H&E stain, scanned at ×20, 8 patches cut from one gastric biopsy slide.
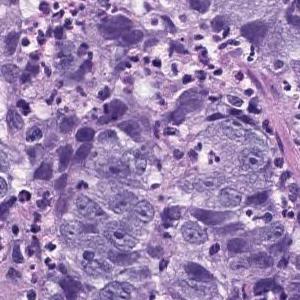
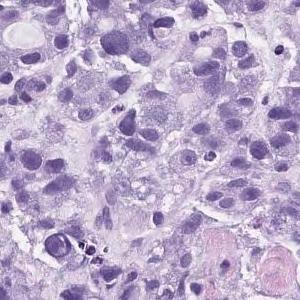
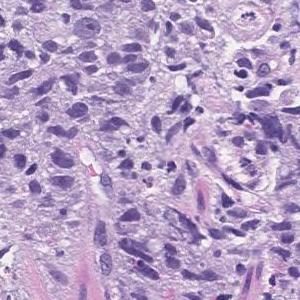
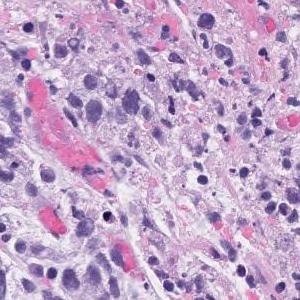
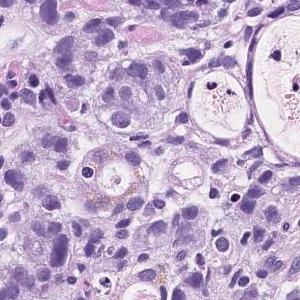
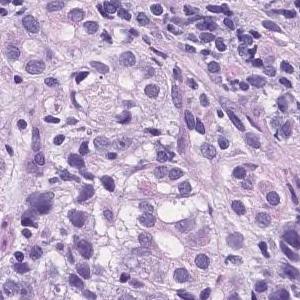
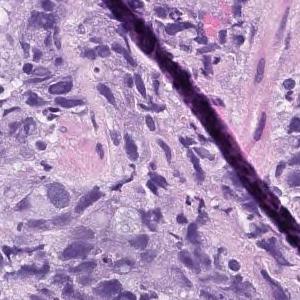
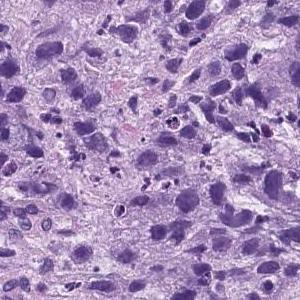
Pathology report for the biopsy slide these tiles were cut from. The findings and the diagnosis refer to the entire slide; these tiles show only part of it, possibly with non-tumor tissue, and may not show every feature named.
Atypical l cells with atypical nuclei forming solid vesicles or small irregular atypical ducts that proliferate in a complex manner. poorly differentiated adenocarcinoma, solid type, moderately differentiated tubular adenocarcinoma
"Solid type" is a category of the Japanese Classification of Gastric Carcinoma; in the WHO 2019 classification it is tubular adenocarcinoma, poorly differentiated.
